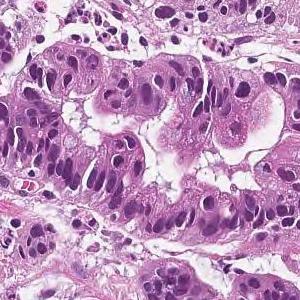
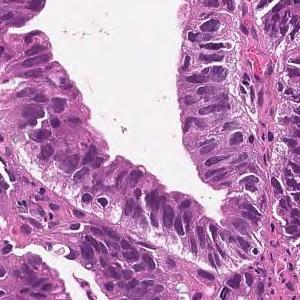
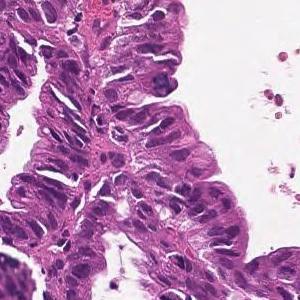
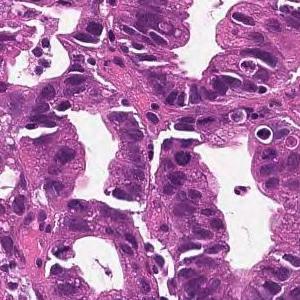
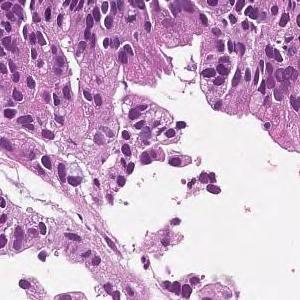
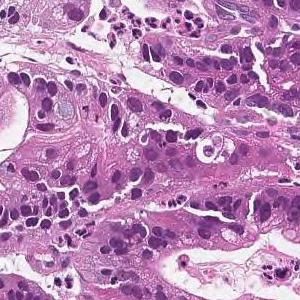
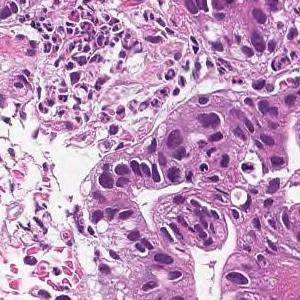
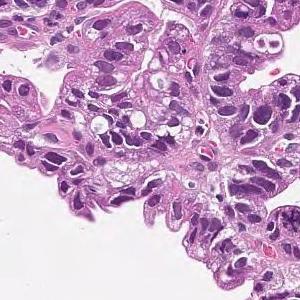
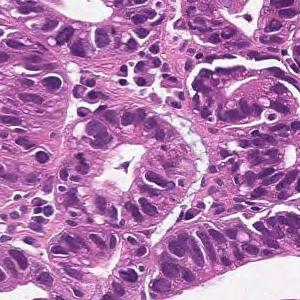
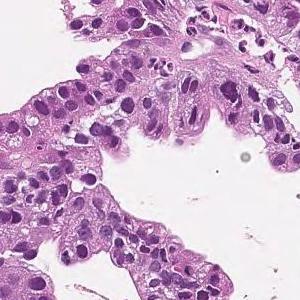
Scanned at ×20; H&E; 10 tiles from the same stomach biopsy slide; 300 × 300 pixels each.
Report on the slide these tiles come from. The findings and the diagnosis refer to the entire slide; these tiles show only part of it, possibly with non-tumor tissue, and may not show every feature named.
On the superficial epithelium, tumor tissue that infiltrates by forming medium-sized papillary or small irregular ducts is observed. Papillary adenocarcinoma
